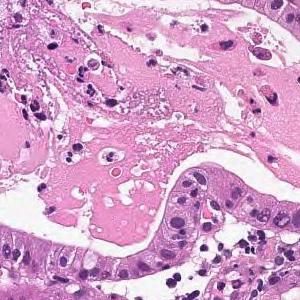
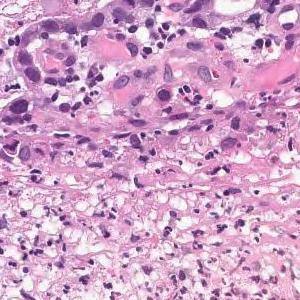
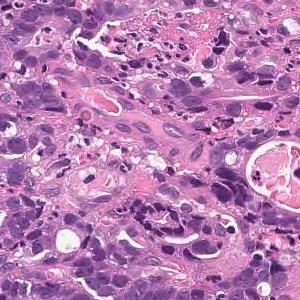
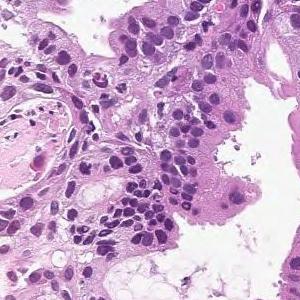
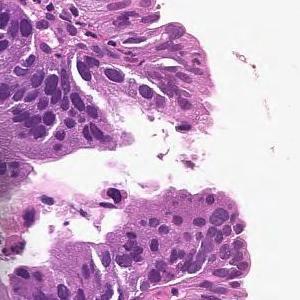
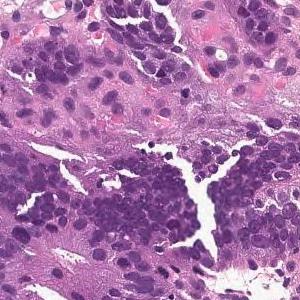
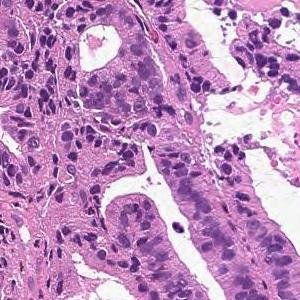
×20; 7 image tiles from a single gastric biopsy slide; 300×300 px each.
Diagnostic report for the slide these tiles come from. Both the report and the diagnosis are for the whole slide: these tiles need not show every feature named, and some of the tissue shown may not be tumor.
From the superficial epithelium to the muscularis mucosae, tumor tissue consisting of medium-sized and irregular glandular ducts infiltrating is observed. Well differentiated tubular adenocarcinoma
